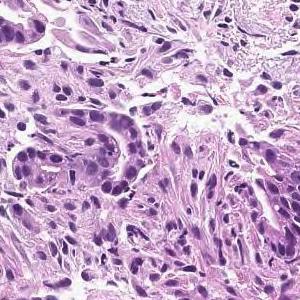
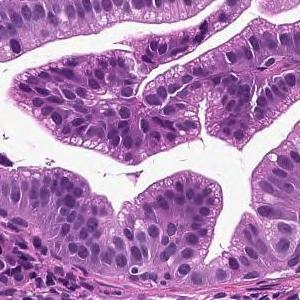
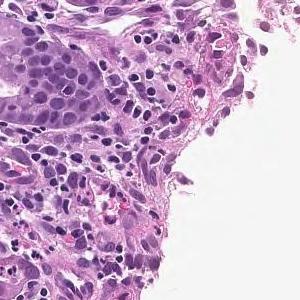
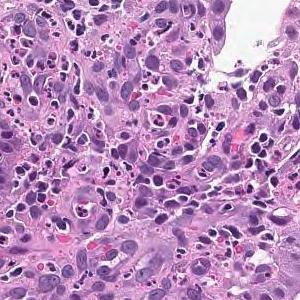
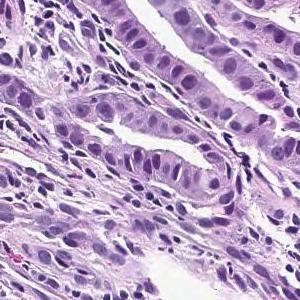
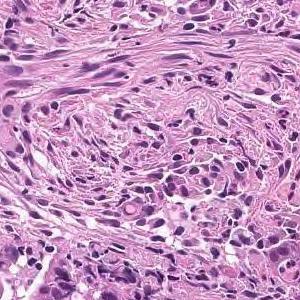
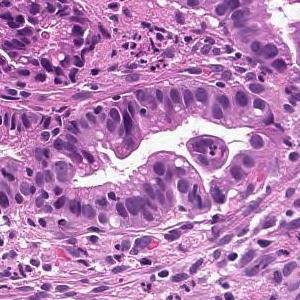
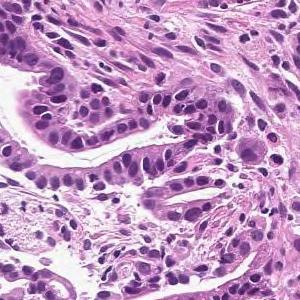
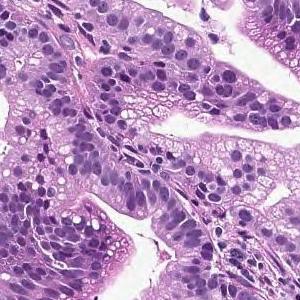
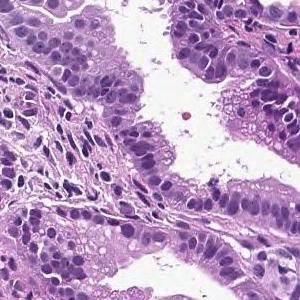
Hematoxylin and eosin stain, scanned at ×20, 10 tiles cut from one stomach biopsy slide.
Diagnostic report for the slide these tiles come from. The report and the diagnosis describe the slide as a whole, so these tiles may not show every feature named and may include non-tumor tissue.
On the superficial epithelium, tumor tissue that infiltrates by forming medium-sized papillary or small irregular ducts is observed. Papillary adenocarcinoma
